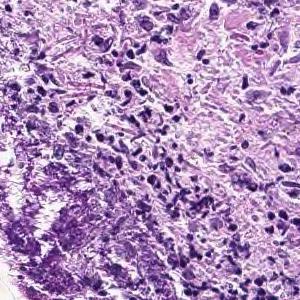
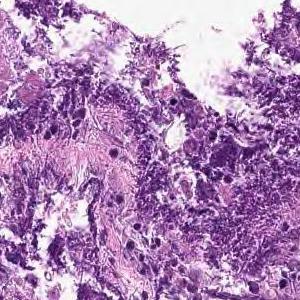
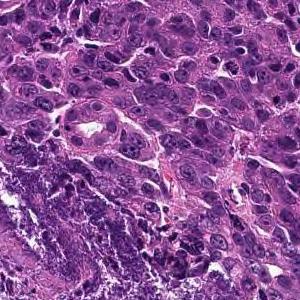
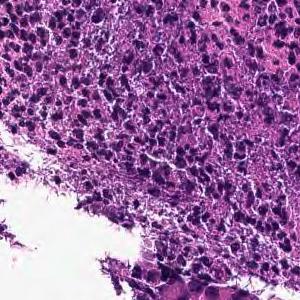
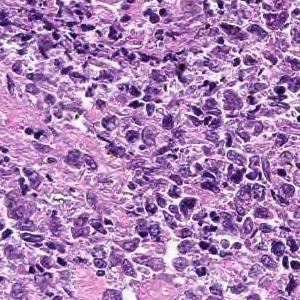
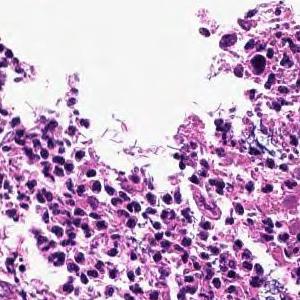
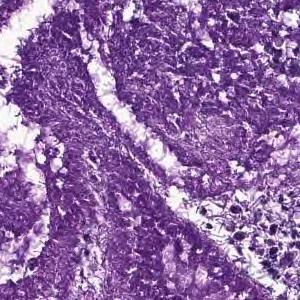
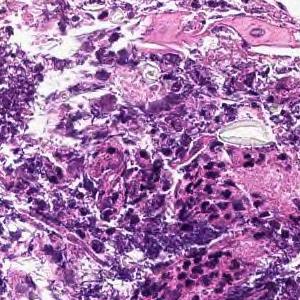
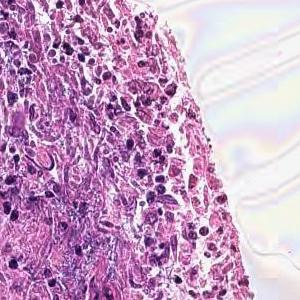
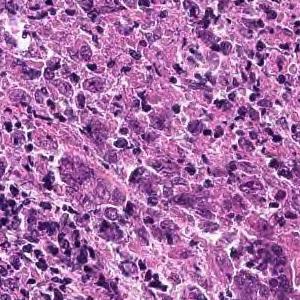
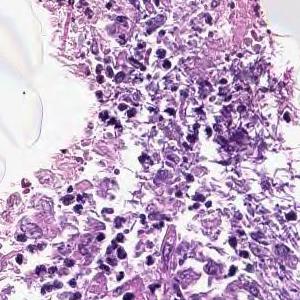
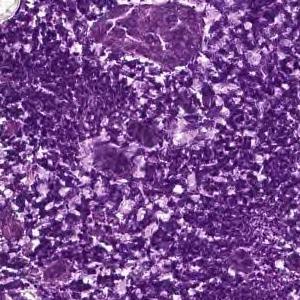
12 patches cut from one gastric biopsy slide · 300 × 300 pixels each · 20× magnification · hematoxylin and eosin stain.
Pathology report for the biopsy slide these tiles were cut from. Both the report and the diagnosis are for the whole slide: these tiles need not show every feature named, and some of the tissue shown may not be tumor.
Cancers with polygonal nuclei do not show glandular formation and are densely, in part, cord-like and proliferate. Poorly differentiated adenocarcinoma
Subtype: Poorly differentiated adenocarcinoma, non-solid type.
The term "non-solid type" comes from the Japanese Classification of Gastric Carcinoma.
